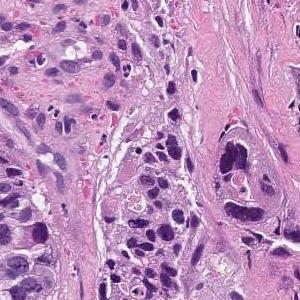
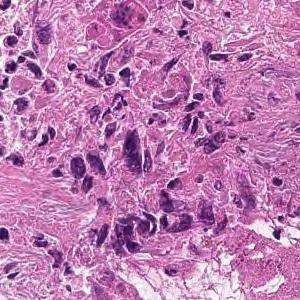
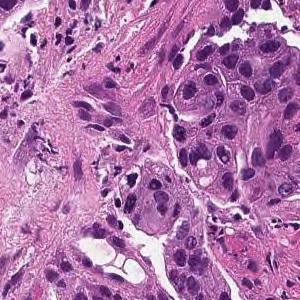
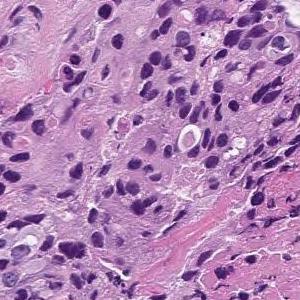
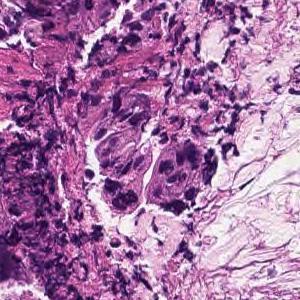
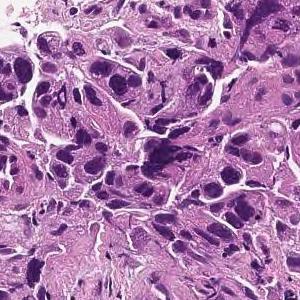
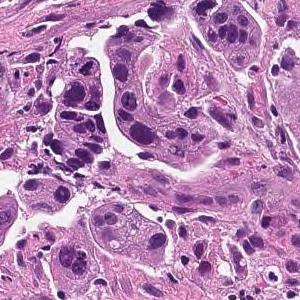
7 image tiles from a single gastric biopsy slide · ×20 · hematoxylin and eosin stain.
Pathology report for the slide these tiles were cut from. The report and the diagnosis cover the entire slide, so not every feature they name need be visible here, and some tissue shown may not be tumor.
Tumor tissue consisting of cord-like or small, irregular glandular ducts fused and infiltrated is observed in the superficial epithelium. Poorly differentiated adenocarcinoma, non-solid type
"Non-solid type" is a category of the Japanese Classification of Gastric Carcinoma.
